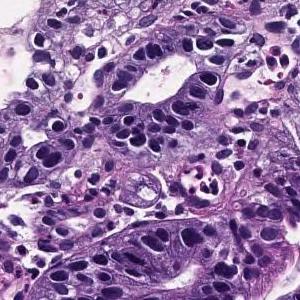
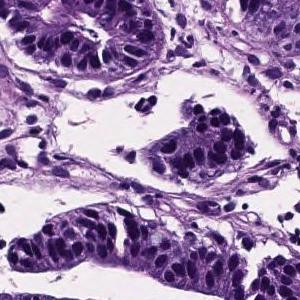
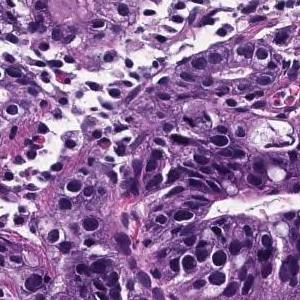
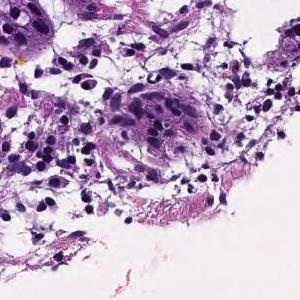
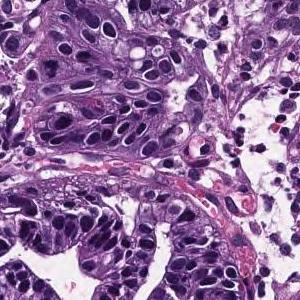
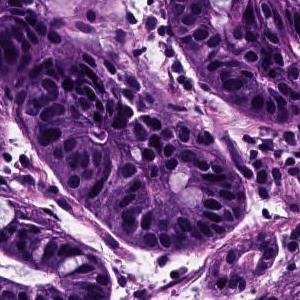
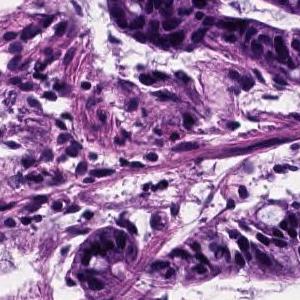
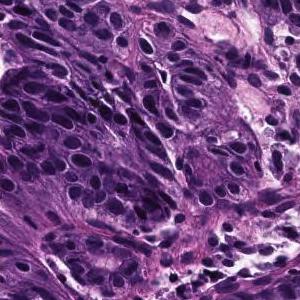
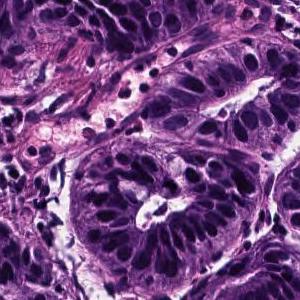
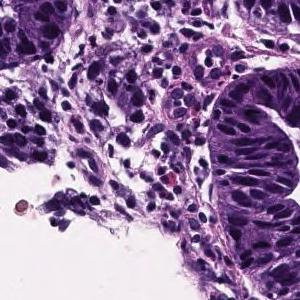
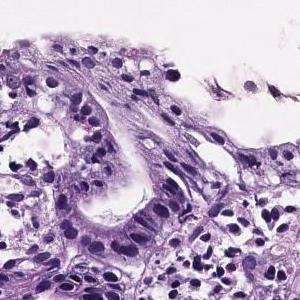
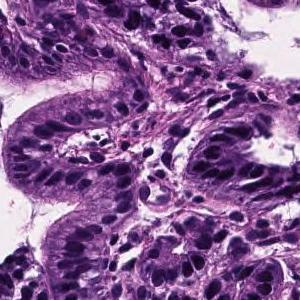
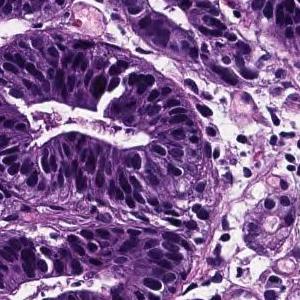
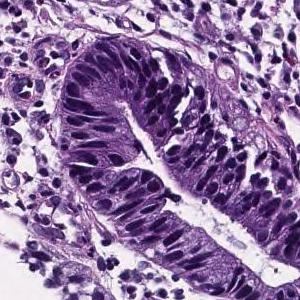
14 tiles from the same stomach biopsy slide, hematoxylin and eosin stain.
Diagnostic report for the slide these tiles come from. The report describes the whole slide, diagnosis included: not every finding it names need appear in these tiles, which may also show non-tumor tissue.
On the superficial epithelium, tumor tissue consisting of medium-sized to large-sized, round or irregular glandular duct growth images is observed. Well differentiated tubular adenocarcinoma
